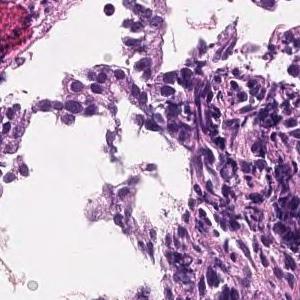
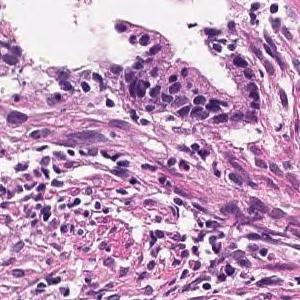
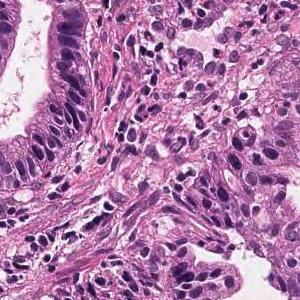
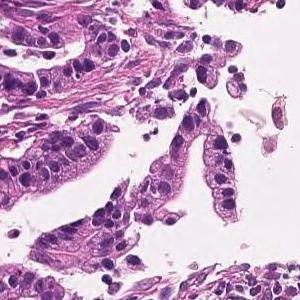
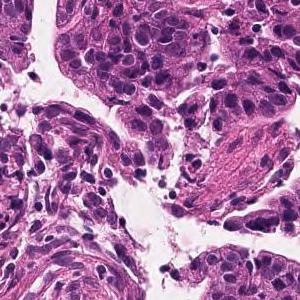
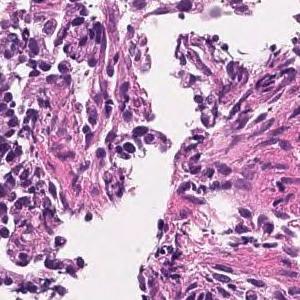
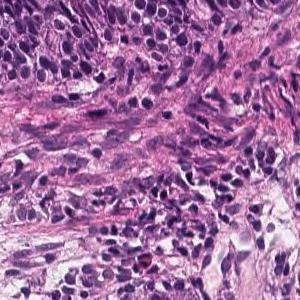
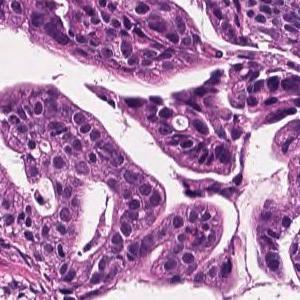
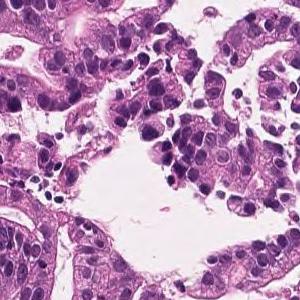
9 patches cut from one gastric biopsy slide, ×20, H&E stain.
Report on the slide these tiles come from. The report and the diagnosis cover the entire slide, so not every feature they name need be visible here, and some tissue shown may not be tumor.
Tumor cells are large, highly columnar, large club-shaped nuclei, and are associated with chromatin aggregation. Papillary adenocarcinoma.
